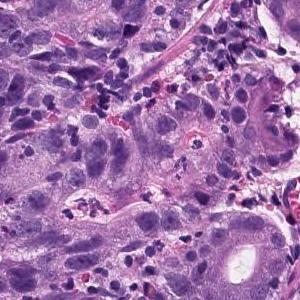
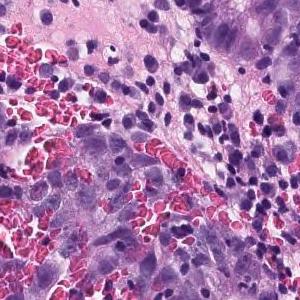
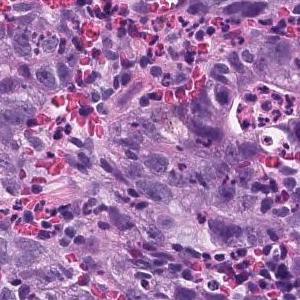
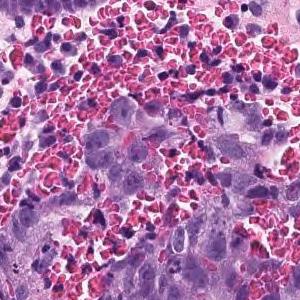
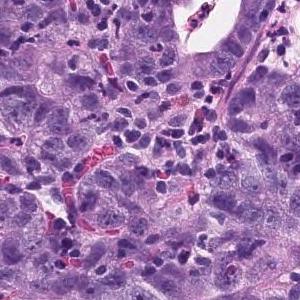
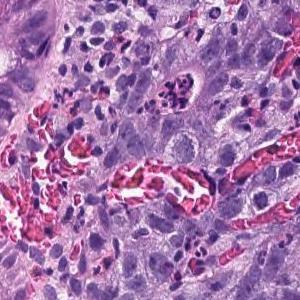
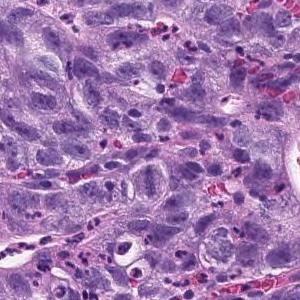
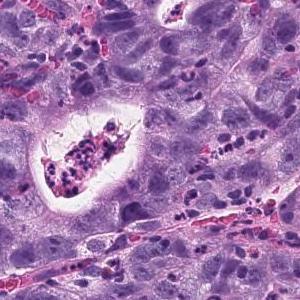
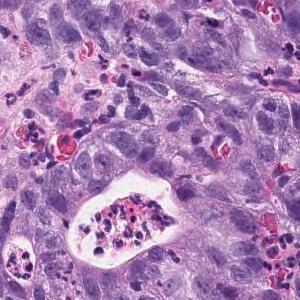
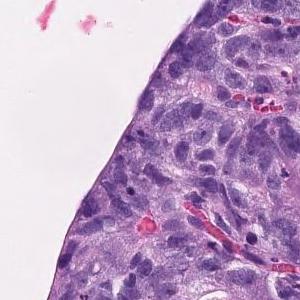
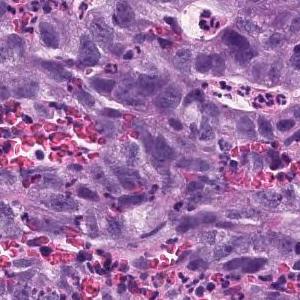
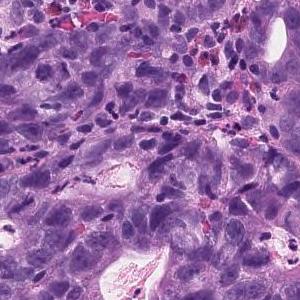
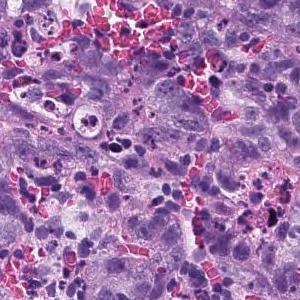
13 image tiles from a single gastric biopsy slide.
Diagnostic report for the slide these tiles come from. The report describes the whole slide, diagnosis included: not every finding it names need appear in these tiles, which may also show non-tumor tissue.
Atypical l cells with atypical nuclei forming solid or diffuse vesicles or small irregular atypical ducts and growing in a complex manner. moderately differentiated tubular adenocarcinoma
